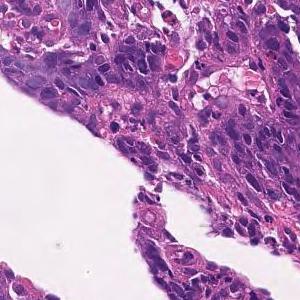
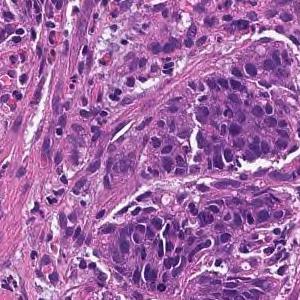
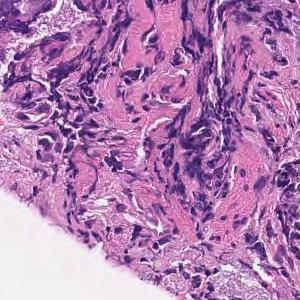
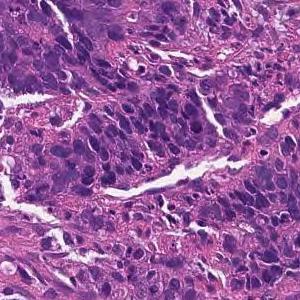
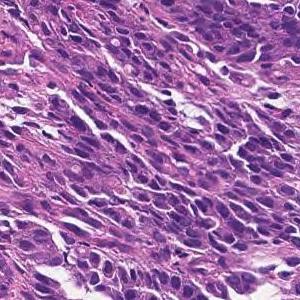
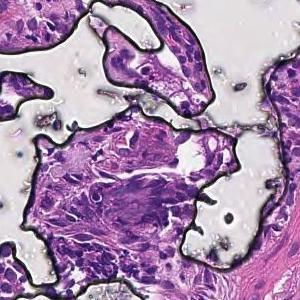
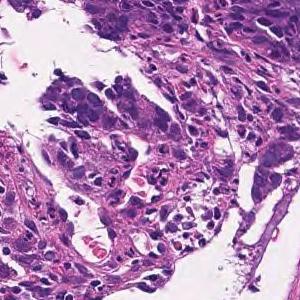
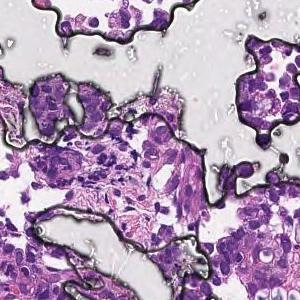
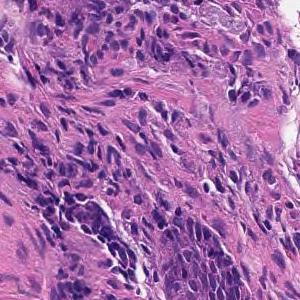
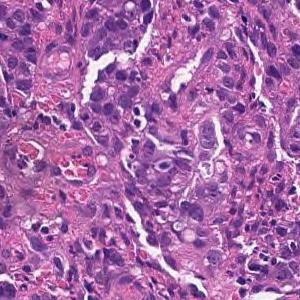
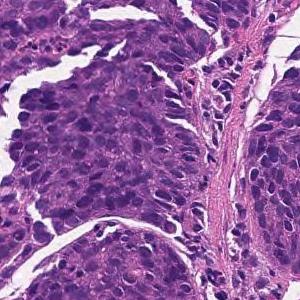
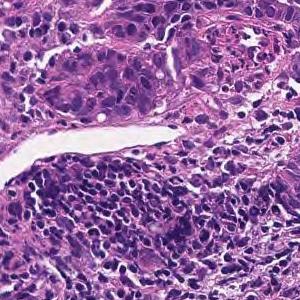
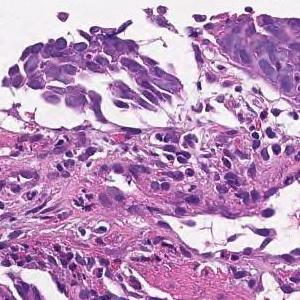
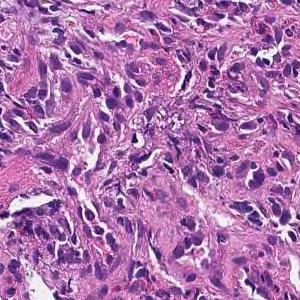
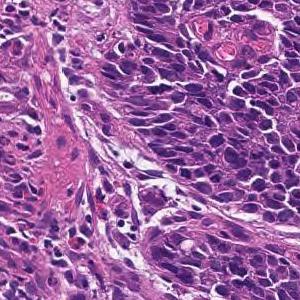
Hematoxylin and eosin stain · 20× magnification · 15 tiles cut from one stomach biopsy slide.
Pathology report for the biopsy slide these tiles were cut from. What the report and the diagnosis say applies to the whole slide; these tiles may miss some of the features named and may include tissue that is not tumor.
Tumor tissue consisting of cord-like or small, irregular glandular ducts fused and infiltrated is observed in the superficial epithelium. Poorly differentiated adenocarcinoma, non-solid type
The non-solid type named here is a Japanese Classification of Gastric Carcinoma category.
